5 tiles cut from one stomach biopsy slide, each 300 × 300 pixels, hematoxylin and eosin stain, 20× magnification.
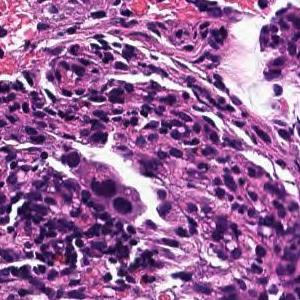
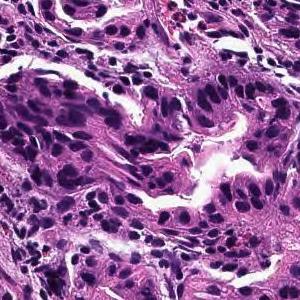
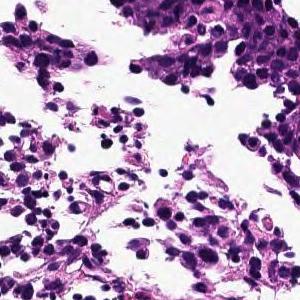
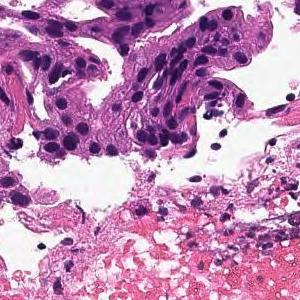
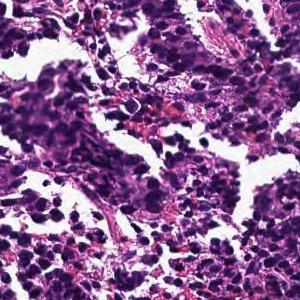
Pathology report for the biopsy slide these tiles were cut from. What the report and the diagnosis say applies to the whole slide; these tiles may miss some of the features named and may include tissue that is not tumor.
In the superficial epithelium, tumor tissue that invades by forming medium-sized to small, irregular ducts is observed. moderately differentiated tubular adenocarcinoma.
